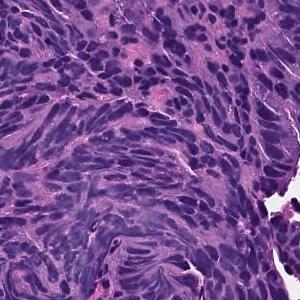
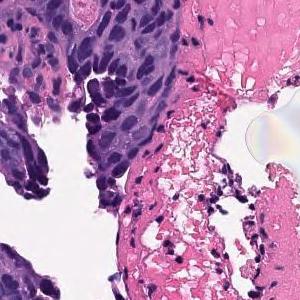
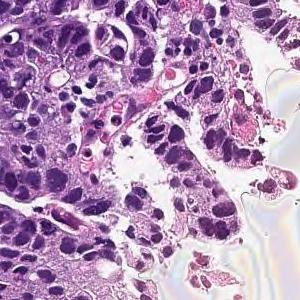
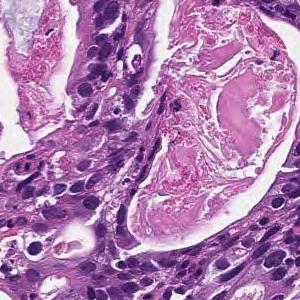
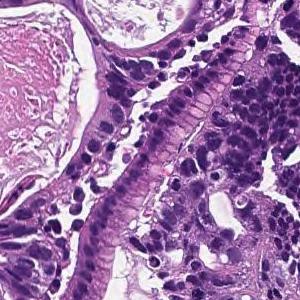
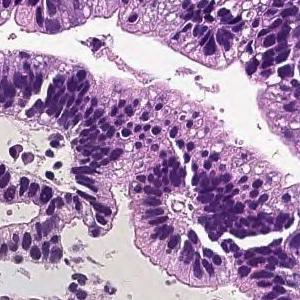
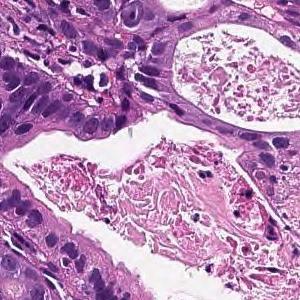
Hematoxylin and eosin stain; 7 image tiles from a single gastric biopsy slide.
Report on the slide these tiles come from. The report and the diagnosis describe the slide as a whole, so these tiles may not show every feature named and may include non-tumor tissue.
In the superficial epithelium, tumor tissue that invades by forming medium-sized to small, irregular ducts is observed. moderately differentiated tubular adenocarcinoma.
